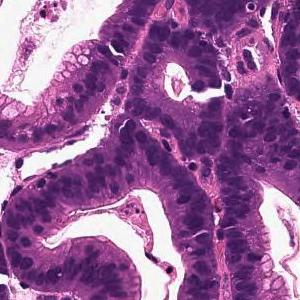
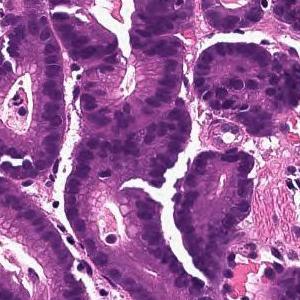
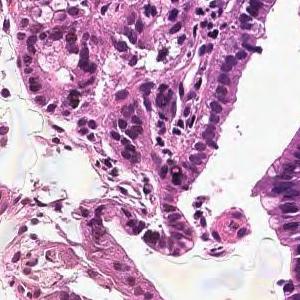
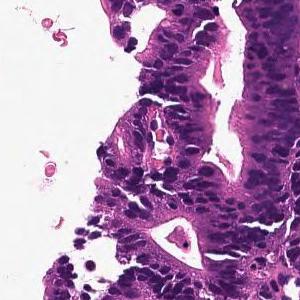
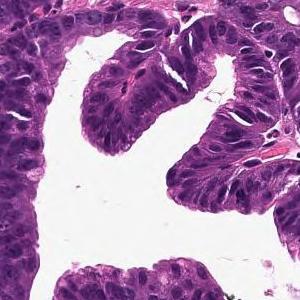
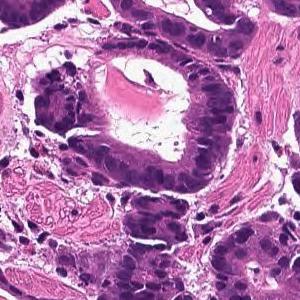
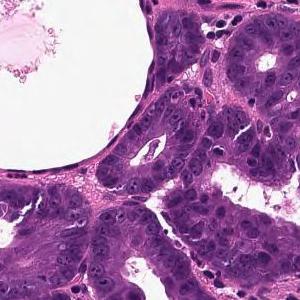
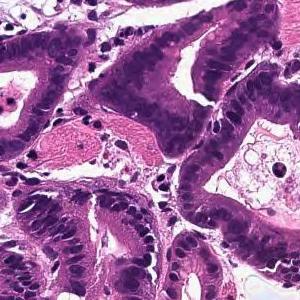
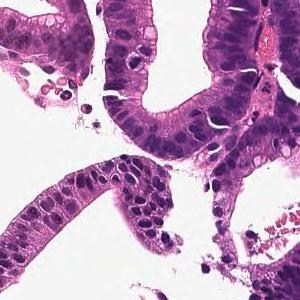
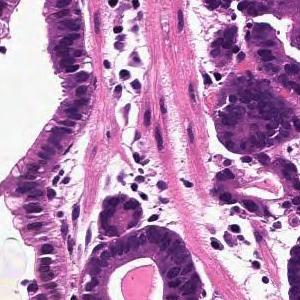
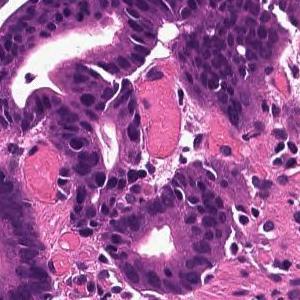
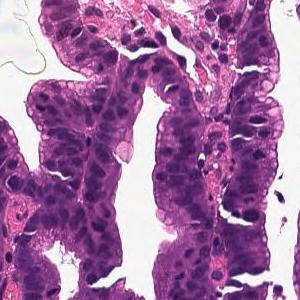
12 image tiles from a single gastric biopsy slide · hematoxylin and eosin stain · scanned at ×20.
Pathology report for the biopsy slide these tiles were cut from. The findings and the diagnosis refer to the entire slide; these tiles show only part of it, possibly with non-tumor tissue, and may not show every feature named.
From the superficial epithelium to the muscularis mucosae, tumor tissue consisting of medium-sized and irregular glandular ducts infiltrating is observed. Well differentiated tubular adenocarcinoma
